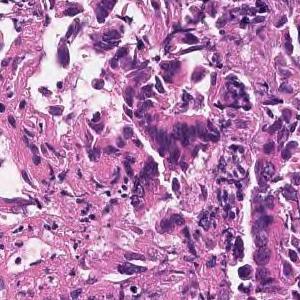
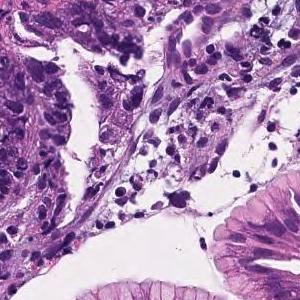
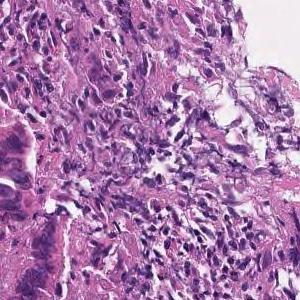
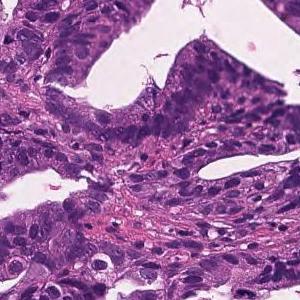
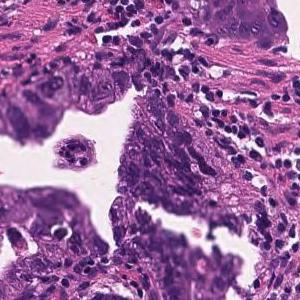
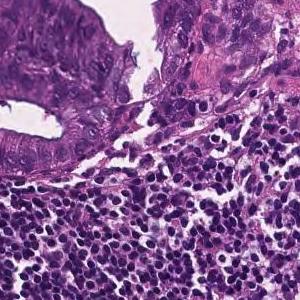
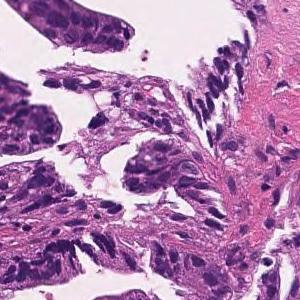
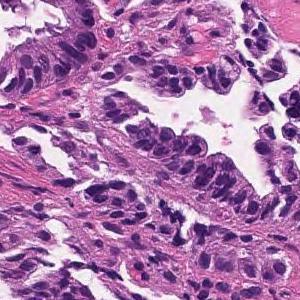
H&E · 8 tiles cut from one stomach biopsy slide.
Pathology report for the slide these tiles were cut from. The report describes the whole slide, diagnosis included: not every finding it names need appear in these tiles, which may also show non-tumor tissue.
On the superficial epithelium, tumor tissue consisting of large, irregular glandular ducts partially fused and infiltrated is observed. Well to moderately differentiated tubular adenocarcinoma (well differentiated tubular adenocarcinoma, moderately differentiated tubular adenocarcinoma)
Classified as well to moderately differentiated tubular adenocarcinoma.
